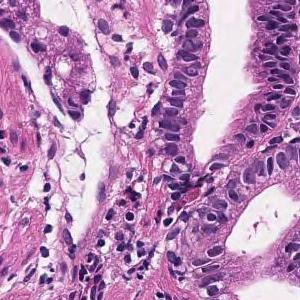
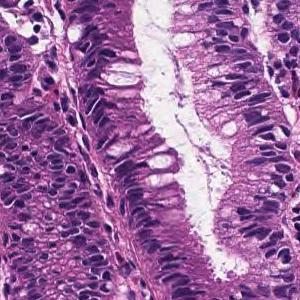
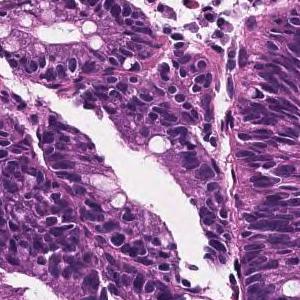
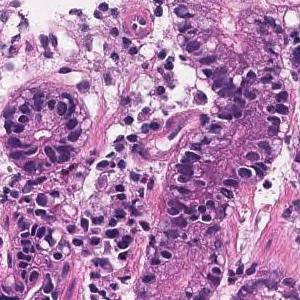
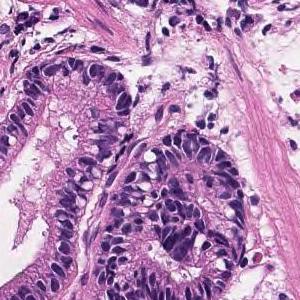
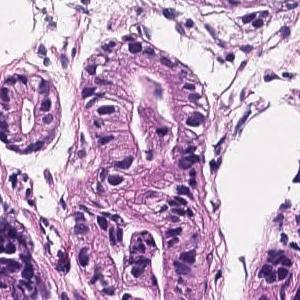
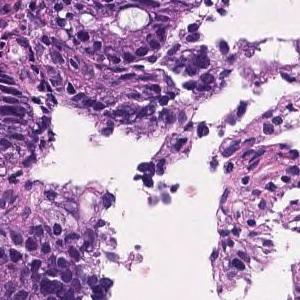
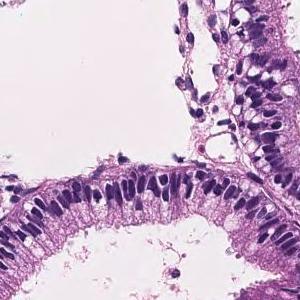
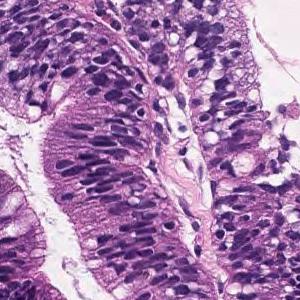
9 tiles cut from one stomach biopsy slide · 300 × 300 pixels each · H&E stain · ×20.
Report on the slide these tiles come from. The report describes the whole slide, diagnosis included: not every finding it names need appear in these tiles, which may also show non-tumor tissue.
Most remain in the superficial epithelium, forming medium-sized papillary or small irregular ducts and proliferating, and some tumor tissue invades the muscularis mucosae. Papillary adenocarcinoma
